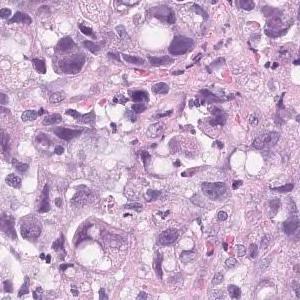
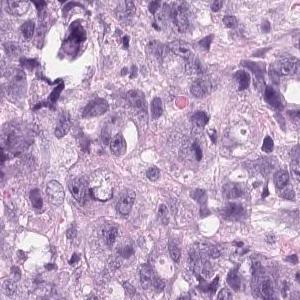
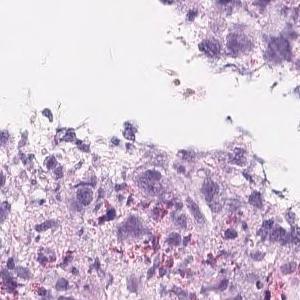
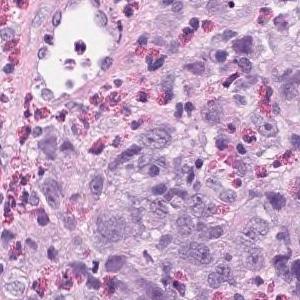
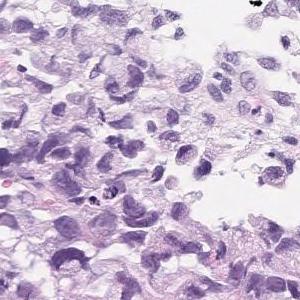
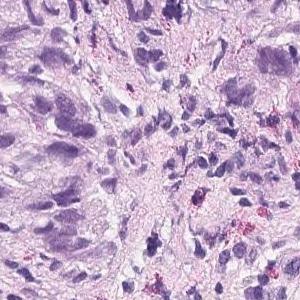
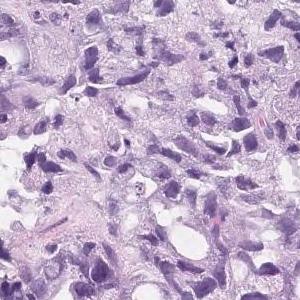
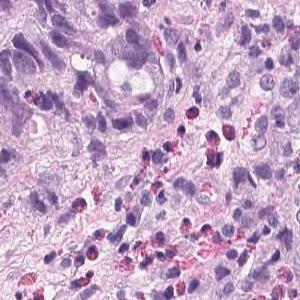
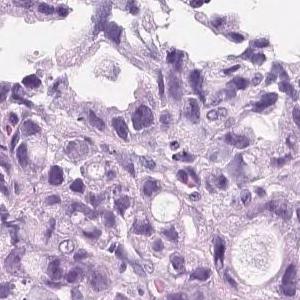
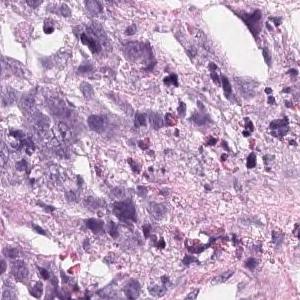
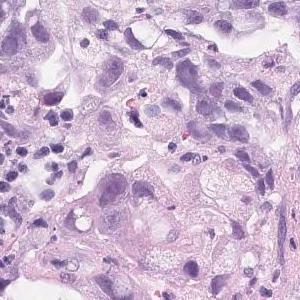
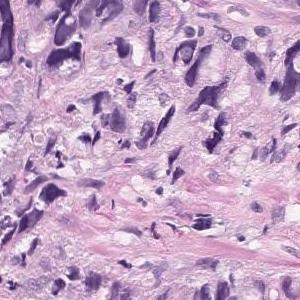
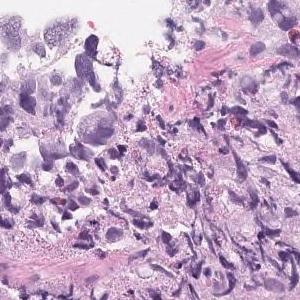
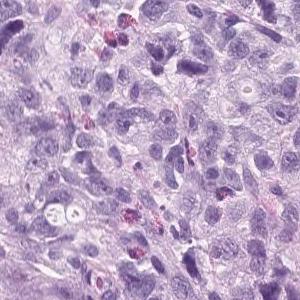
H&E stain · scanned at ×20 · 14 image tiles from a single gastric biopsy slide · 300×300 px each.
Pathology report for the slide these tiles were cut from. Both the report and the diagnosis are for the whole slide: these tiles need not show every feature named, and some of the tissue shown may not be tumor.
Tumor tissue that infiltrates and proliferates by forming small glandular cavities in the superficial layer to the submucosa or forming a mass is observed. moderately differentiated tubular adenocarcinoma
